Scanned at ×20; H&E stain; 7 tiles from the same stomach biopsy slide.
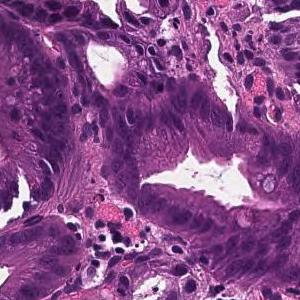
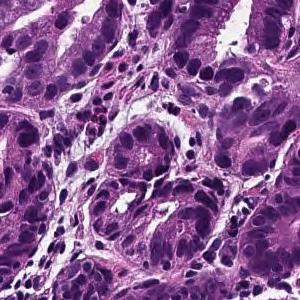
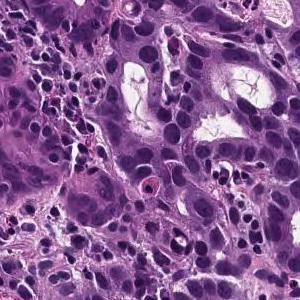
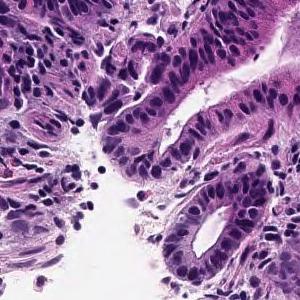
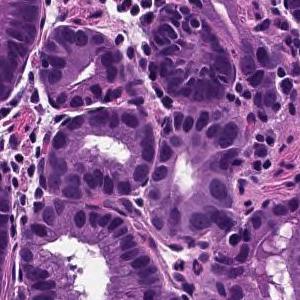
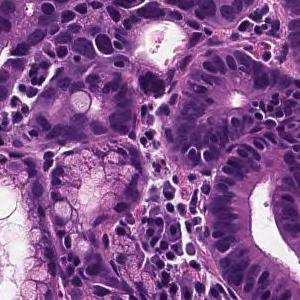
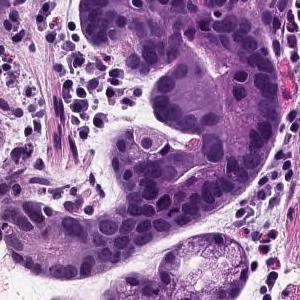
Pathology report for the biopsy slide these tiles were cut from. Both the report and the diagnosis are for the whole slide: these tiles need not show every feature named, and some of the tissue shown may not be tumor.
From the superficial epithelium to the muscularis mucosae, tumor tissue consisting of medium-sized and irregular glandular ducts infiltrating is observed. Well differentiated tubular adenocarcinoma
